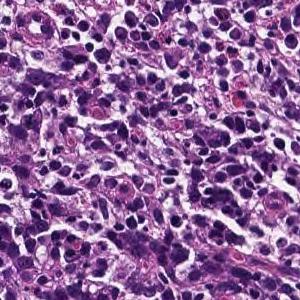
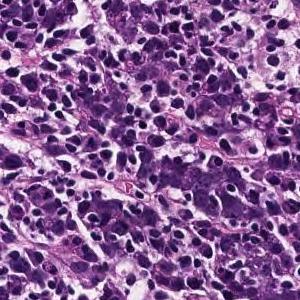
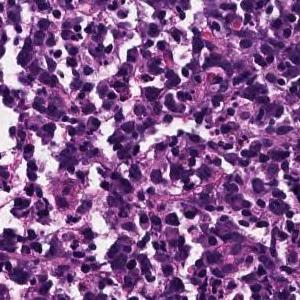
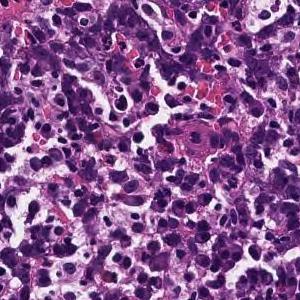
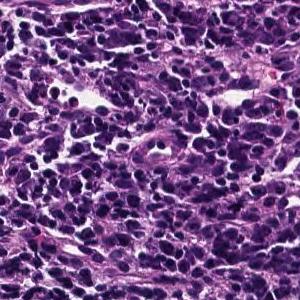
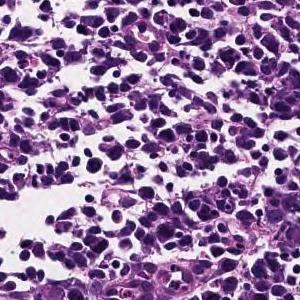
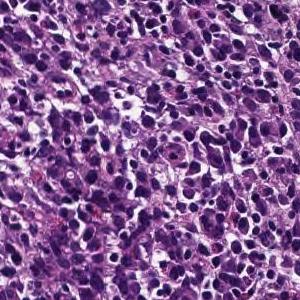
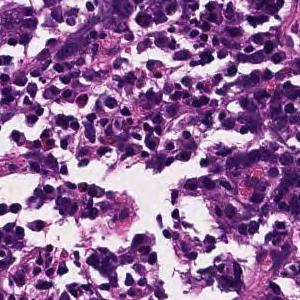
H&E, 20× magnification, 8 tiles cut from one stomach biopsy slide, 300 × 300 pixels each.
Diagnostic report for the slide these tiles come from. The report and the diagnosis cover the entire slide, so not every feature they name need be visible here, and some tissue shown may not be tumor.
Tumor tissue consisting of cord-like or small, irregular glandular ducts fused and infiltrated is observed in the superficial epithelium. Poorly differentiated adenocarcinoma, non-solid type
"Non-solid type" is a category of the Japanese Classification of Gastric Carcinoma.
